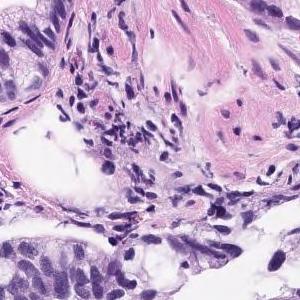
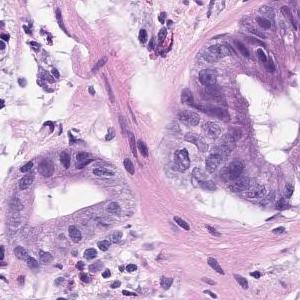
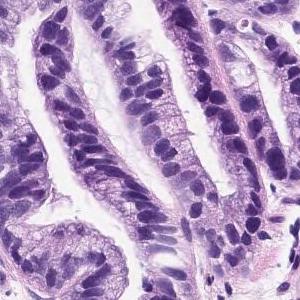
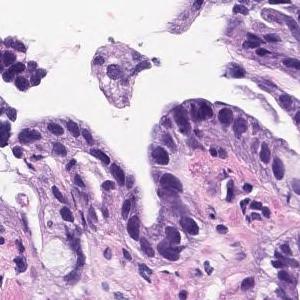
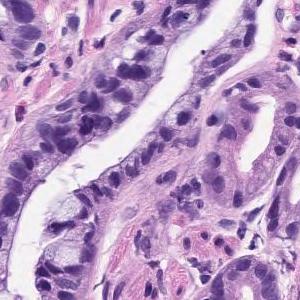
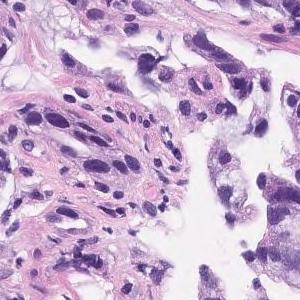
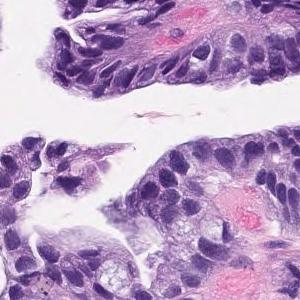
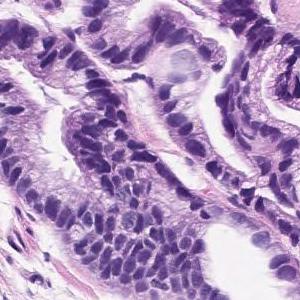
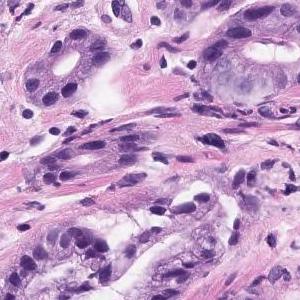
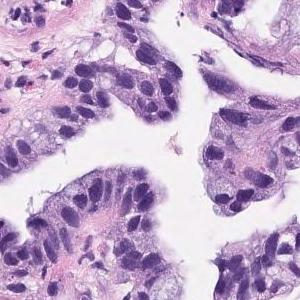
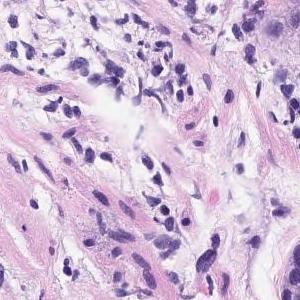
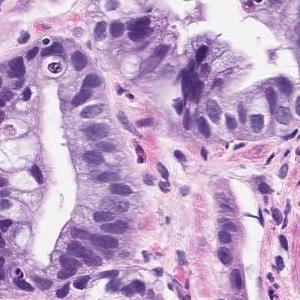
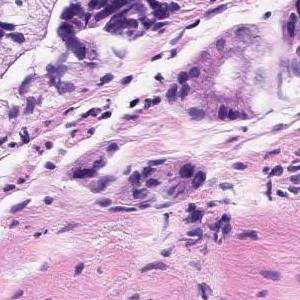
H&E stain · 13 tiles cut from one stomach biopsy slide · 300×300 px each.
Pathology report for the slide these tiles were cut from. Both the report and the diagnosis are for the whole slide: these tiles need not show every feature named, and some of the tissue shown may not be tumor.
The superficial tumors shows large papillary structures or large and small ducts and infiltrates. Papillary adenocarcinoma.
